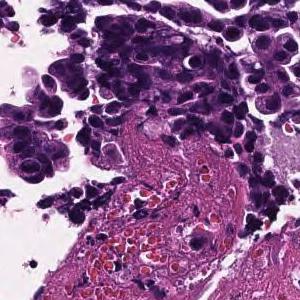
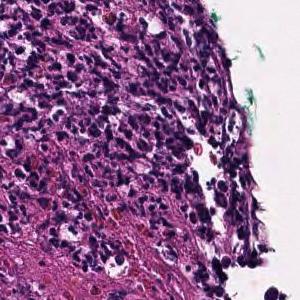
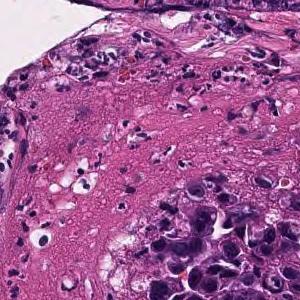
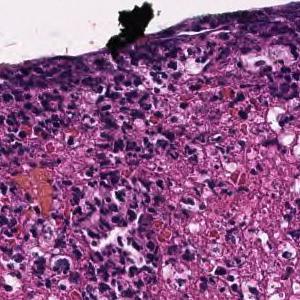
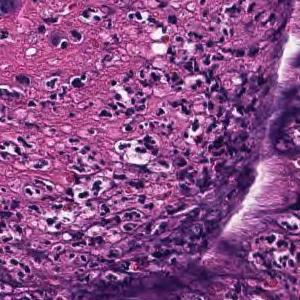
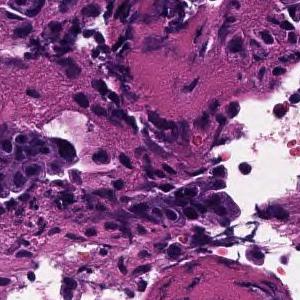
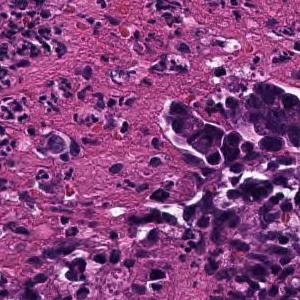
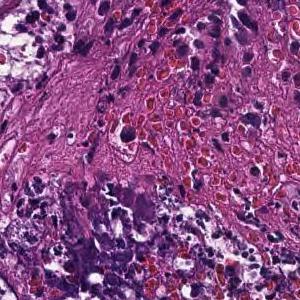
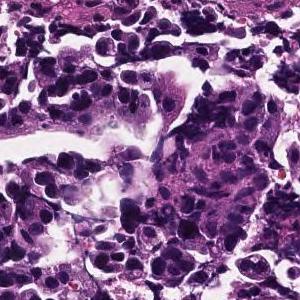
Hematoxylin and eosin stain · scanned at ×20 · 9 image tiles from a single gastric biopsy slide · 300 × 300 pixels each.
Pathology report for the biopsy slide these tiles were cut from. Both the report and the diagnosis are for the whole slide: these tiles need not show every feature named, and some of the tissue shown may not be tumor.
Tumor tissue consisting of cord-like or small, irregular glandular ducts fused and infiltrated is observed in the superficial epithelium. Poorly differentiated adenocarcinoma, non-solid type
The non-solid type named here is a Japanese Classification of Gastric Carcinoma category.
